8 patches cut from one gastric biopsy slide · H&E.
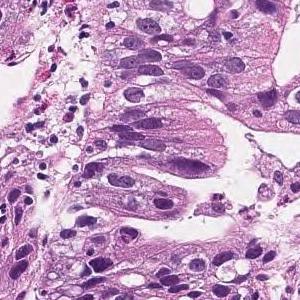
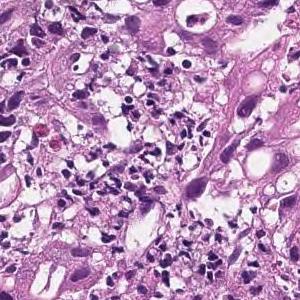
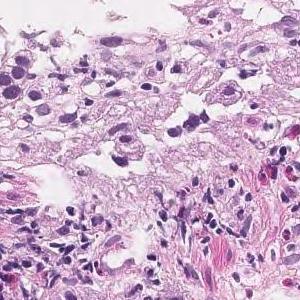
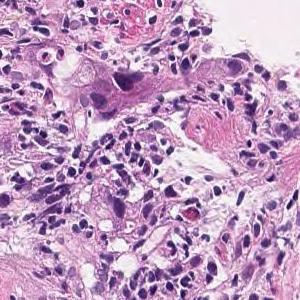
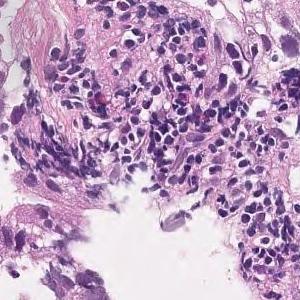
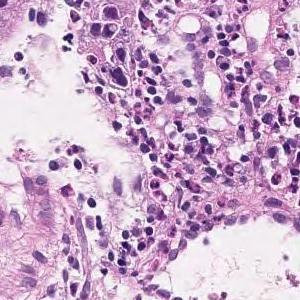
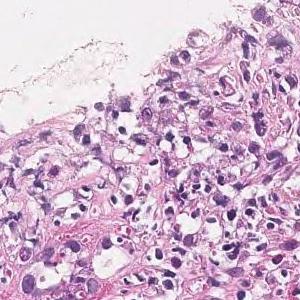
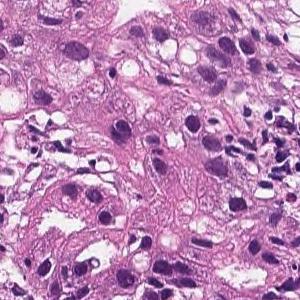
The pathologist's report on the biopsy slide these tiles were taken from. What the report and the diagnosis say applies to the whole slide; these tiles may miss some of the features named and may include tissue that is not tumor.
In the superficial epithelium, tumor tissue that invades by forming medium-sized to small, irregular ducts is observed. moderately differentiated tubular adenocarcinoma.
